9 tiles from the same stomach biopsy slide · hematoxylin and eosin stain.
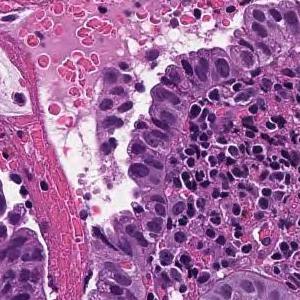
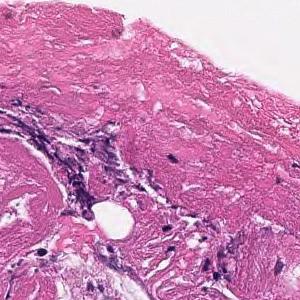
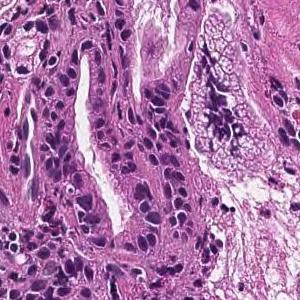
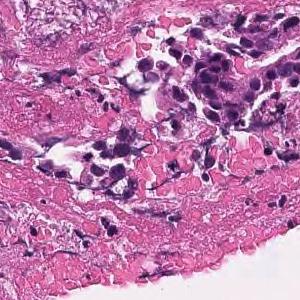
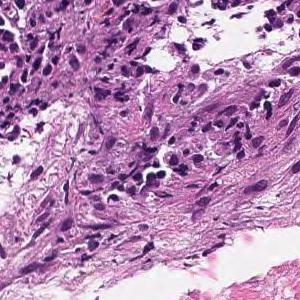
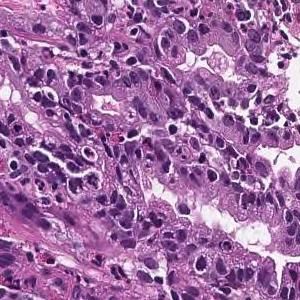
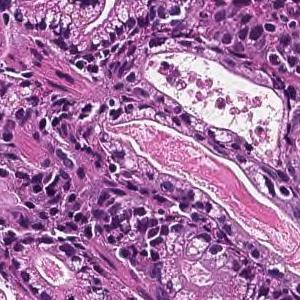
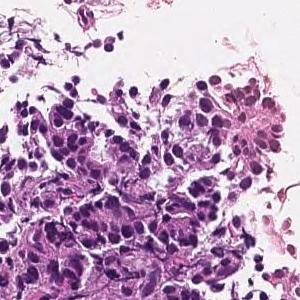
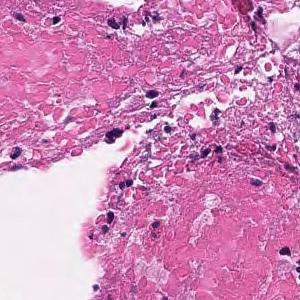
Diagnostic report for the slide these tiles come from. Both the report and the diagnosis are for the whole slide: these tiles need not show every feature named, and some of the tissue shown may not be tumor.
On the superficial epithelium, tumor tissue that infiltrates by forming medium-sized papillary or small irregular ducts is observed. Papillary adenocarcinoma
